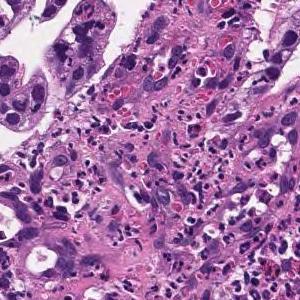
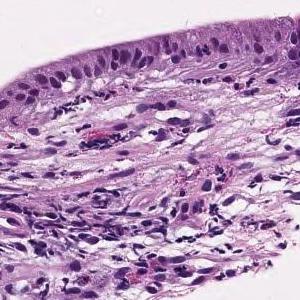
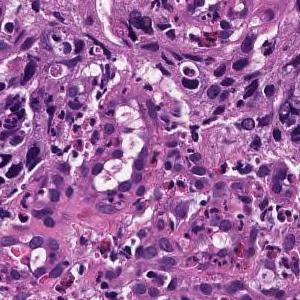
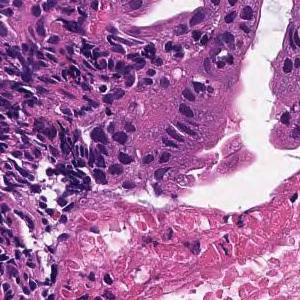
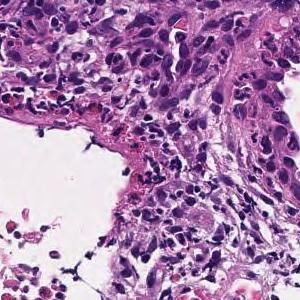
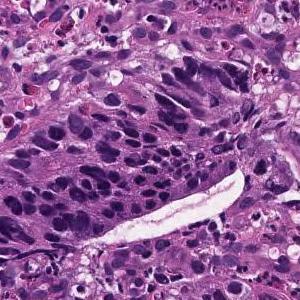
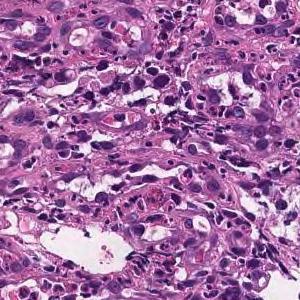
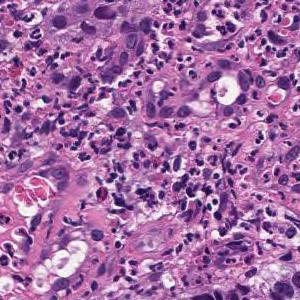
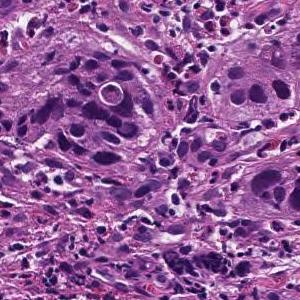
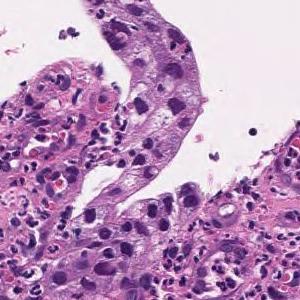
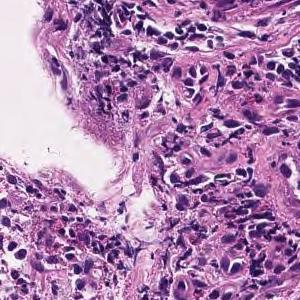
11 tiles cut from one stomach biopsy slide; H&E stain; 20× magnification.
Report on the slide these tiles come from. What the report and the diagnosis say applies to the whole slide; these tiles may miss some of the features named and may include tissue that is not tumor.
In the superficial epithelium, tumor tissue that invades by forming medium-sized to small, irregular ducts is observed. moderately differentiated tubular adenocarcinoma.
